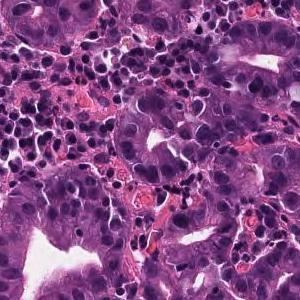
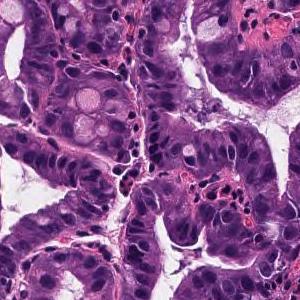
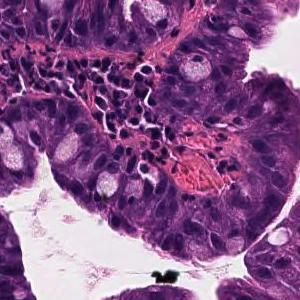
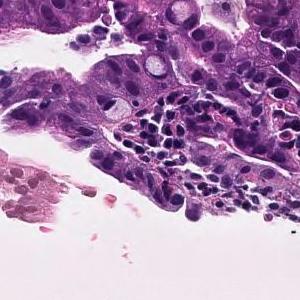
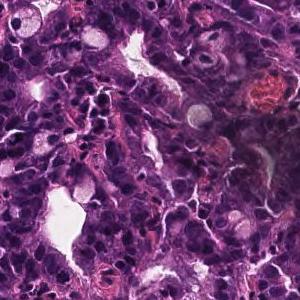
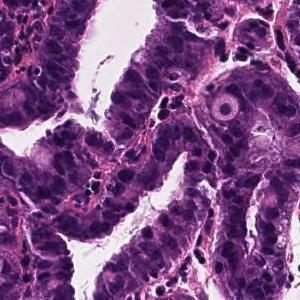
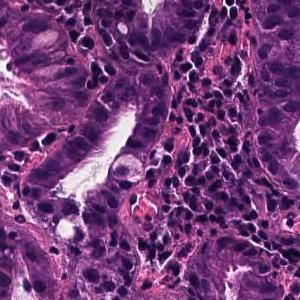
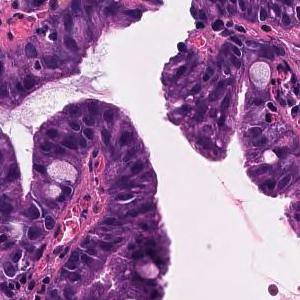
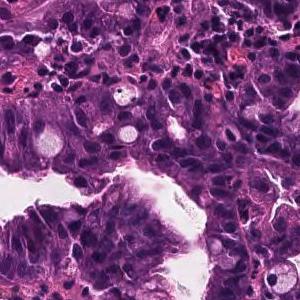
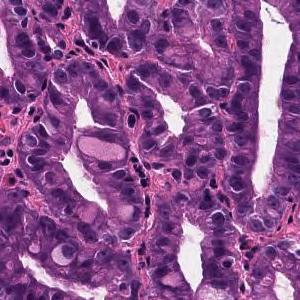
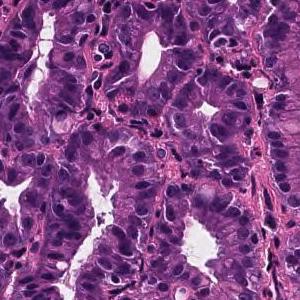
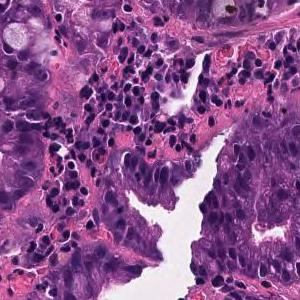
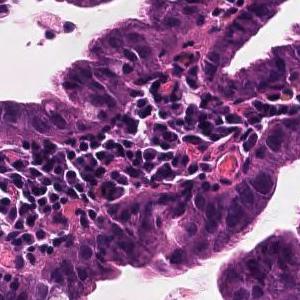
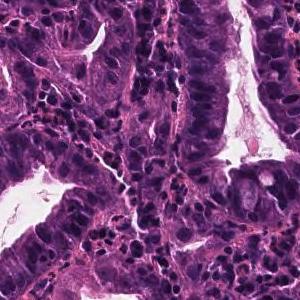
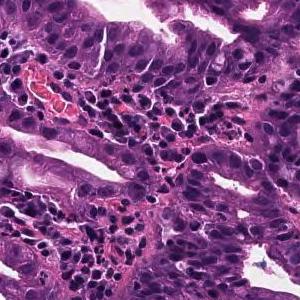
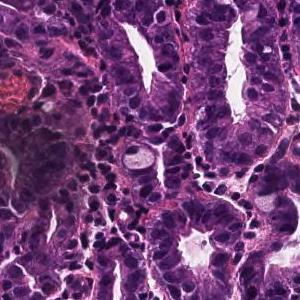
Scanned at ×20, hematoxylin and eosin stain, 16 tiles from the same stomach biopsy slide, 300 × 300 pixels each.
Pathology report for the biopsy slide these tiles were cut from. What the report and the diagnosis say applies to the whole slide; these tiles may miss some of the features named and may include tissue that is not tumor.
Atypical tubular proliferation of well to moderately differentiated gastric gland with hyperchromatic nuclei and high N:C ratio. Mitotic figures were also present. These histological findings were suggestive of well to moderately differentiated tubular adenocarcinoma (well differentiated tubular adenocarcinoma, moderately differentiated tubular adenocarcinoma).
The dataset labels this slide well differentiated tubular adenocarcinoma.
